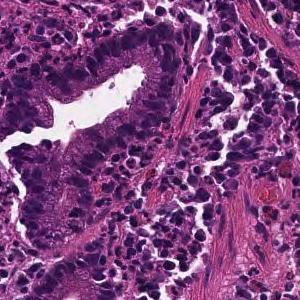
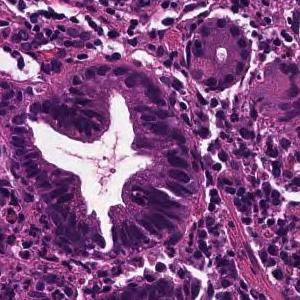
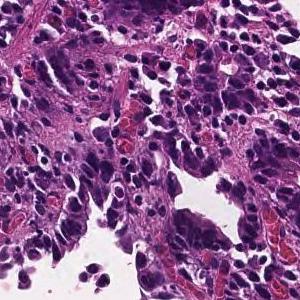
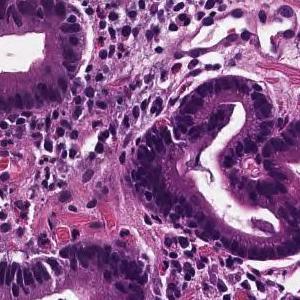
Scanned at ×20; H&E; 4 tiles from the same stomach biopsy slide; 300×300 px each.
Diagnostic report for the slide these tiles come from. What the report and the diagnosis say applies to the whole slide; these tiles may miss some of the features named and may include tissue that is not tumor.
From the superficial epithelium to the muscularis mucosae, tumor tissue consisting of medium-sized and irregular glandular ducts infiltrating is observed. Well differentiated tubular adenocarcinoma
